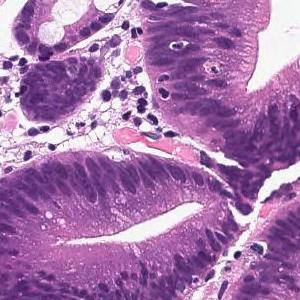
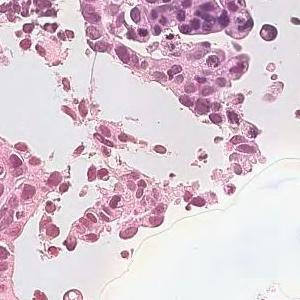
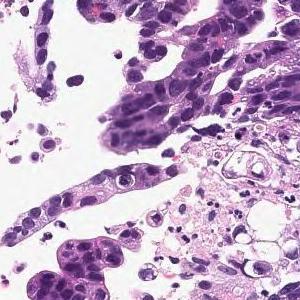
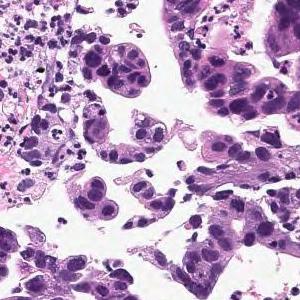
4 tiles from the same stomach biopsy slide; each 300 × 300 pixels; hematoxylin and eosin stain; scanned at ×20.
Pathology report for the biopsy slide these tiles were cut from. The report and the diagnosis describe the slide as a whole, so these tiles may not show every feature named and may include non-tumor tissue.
In the superficial epithelium, tumor tissue that invades by forming medium-sized to small, irregular ducts is observed. moderately differentiated tubular adenocarcinoma.
